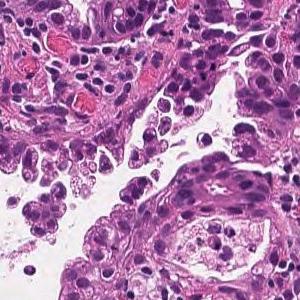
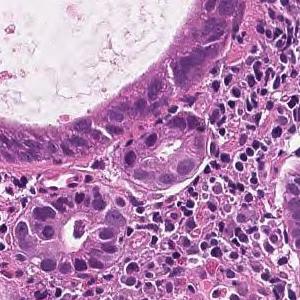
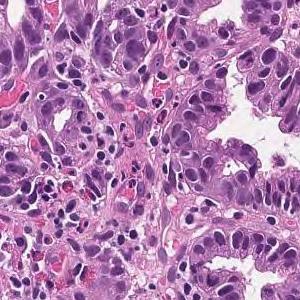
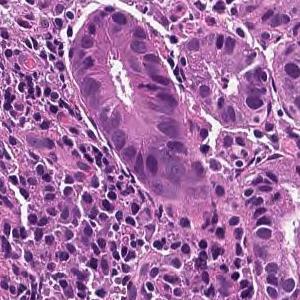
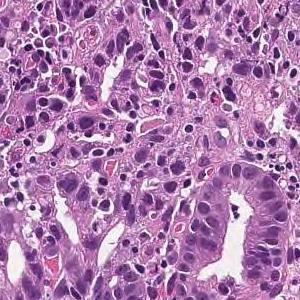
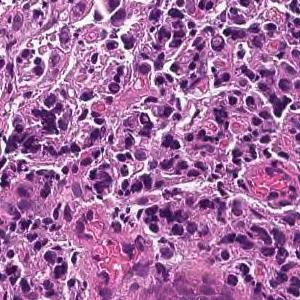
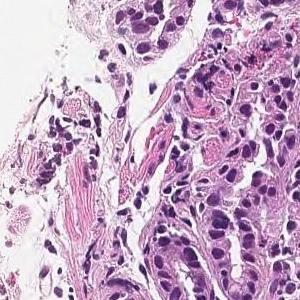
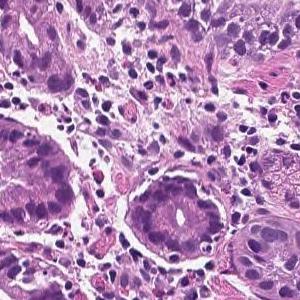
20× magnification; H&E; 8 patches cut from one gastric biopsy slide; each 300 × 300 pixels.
Pathology report for the biopsy slide these tiles were cut from. The report describes the whole slide, diagnosis included: not every finding it names need appear in these tiles, which may also show non-tumor tissue.
On the superficial epithelium, tumor tissue consisting of large irregular glandular ducts partially fused and infiltrated is observed. Well to moderately differentiated tubular adenocarcinoma (well differentiated tubular adenocarcinoma, moderately differentiated tubular adenocarcinoma)
Histologic type: Well to moderately differentiated tubular adenocarcinoma.
